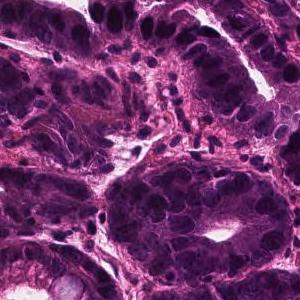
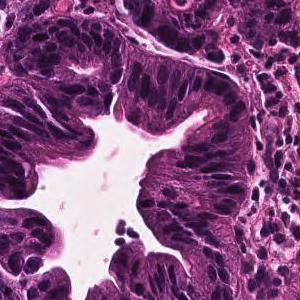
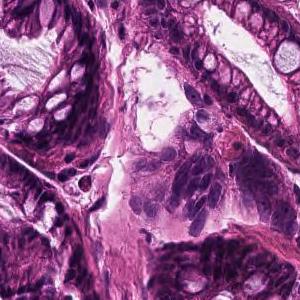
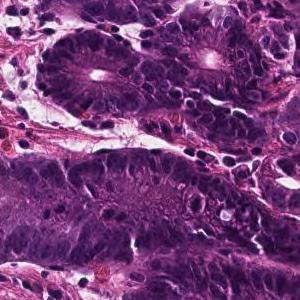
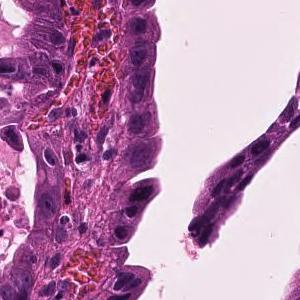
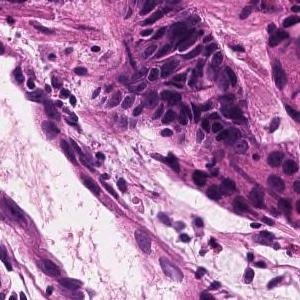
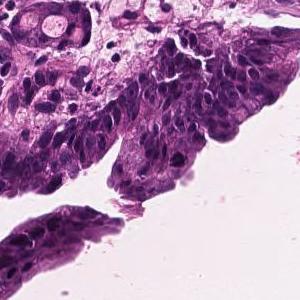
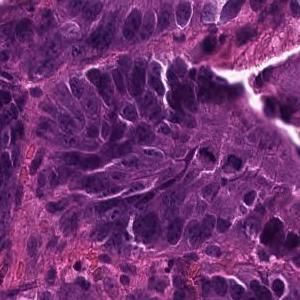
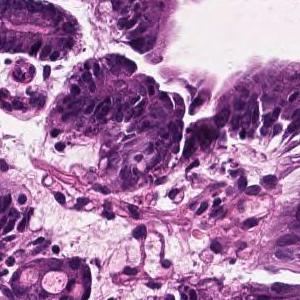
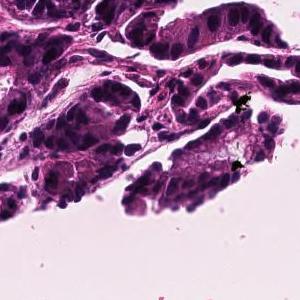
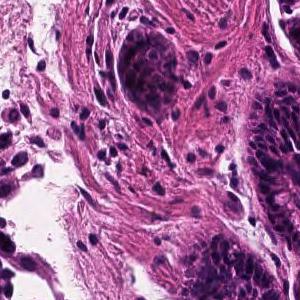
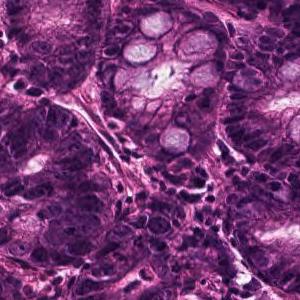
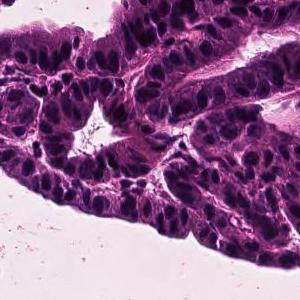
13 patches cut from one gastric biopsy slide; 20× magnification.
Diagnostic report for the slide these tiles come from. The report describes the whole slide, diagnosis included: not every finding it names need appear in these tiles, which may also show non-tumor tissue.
In the superficial epithelium, tumor tissue that invades by forming medium-sized to small, irregular ducts is observed. Well differentiated tubular adenocarcinoma.
